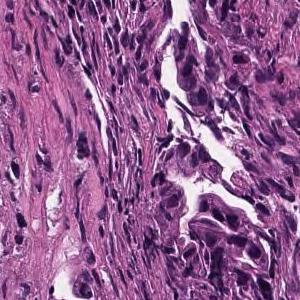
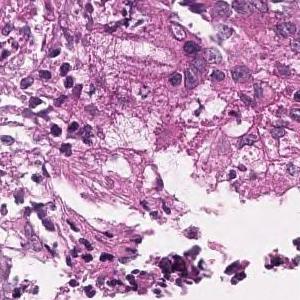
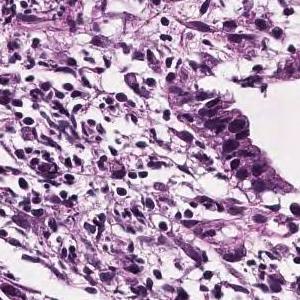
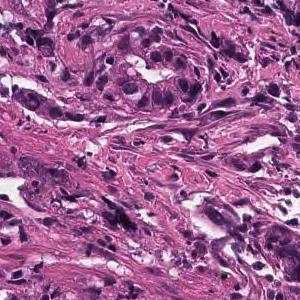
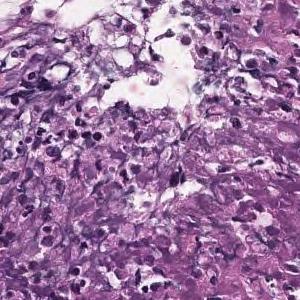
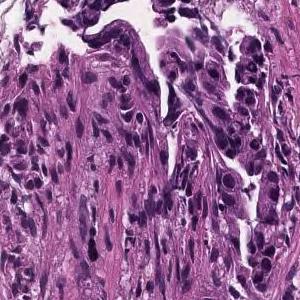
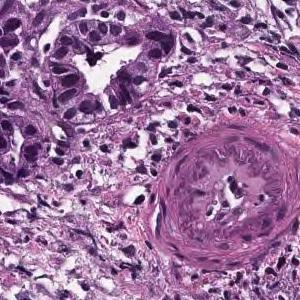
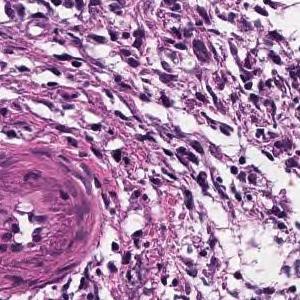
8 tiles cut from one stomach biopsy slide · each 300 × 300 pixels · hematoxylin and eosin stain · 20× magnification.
The pathologist's report on the biopsy slide these tiles were taken from. The findings and the diagnosis refer to the entire slide; these tiles show only part of it, possibly with non-tumor tissue, and may not show every feature named.
In the superficial epithelium, tumor tissue that invades by forming medium-sized to small, irregular ducts is observed. moderately differentiated tubular adenocarcinoma.
